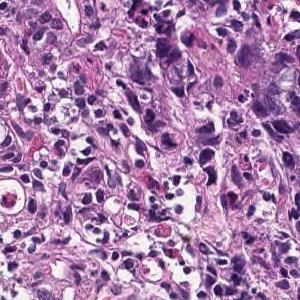
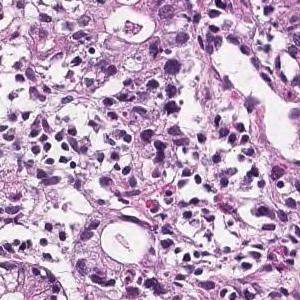
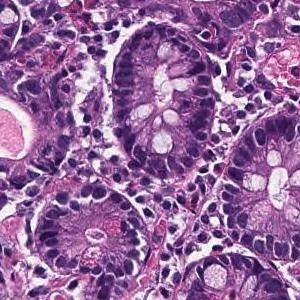
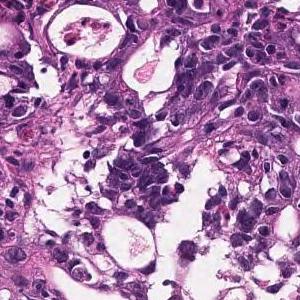
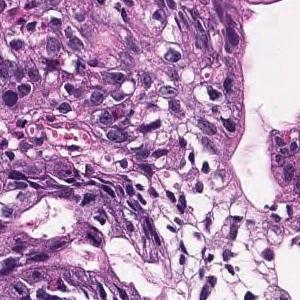
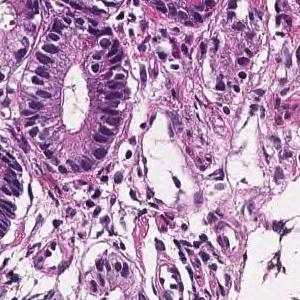
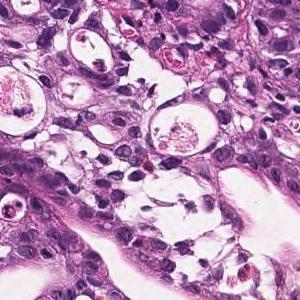
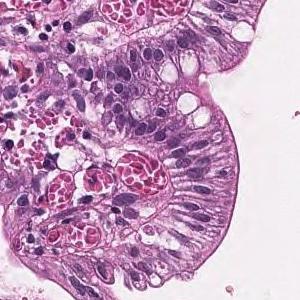
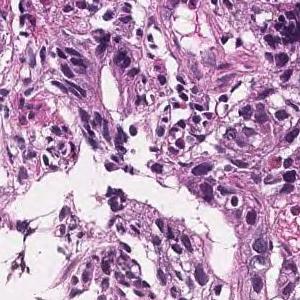
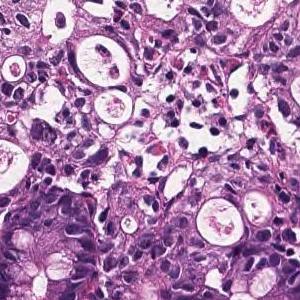
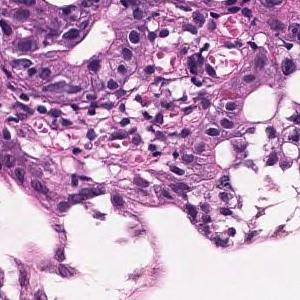
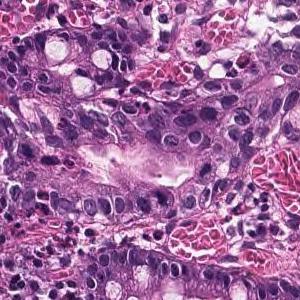
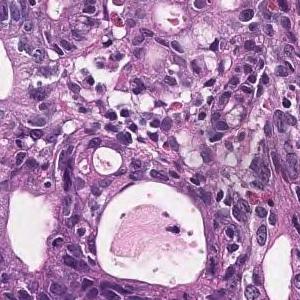
13 tiles cut from one stomach biopsy slide, 300 × 300 pixels each, 20× magnification, H&E.
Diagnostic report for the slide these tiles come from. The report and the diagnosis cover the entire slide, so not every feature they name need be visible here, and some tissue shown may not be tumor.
In the superficial epithelium, tumor tissue that invades by forming medium-sized to small, irregular ducts is observed. Moderately differentiated adenocarcinoma.
Histologic type: Moderately differentiated tubular adenocarcinoma.
